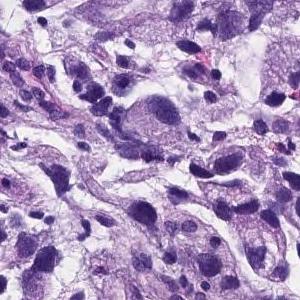
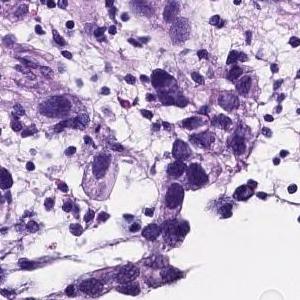
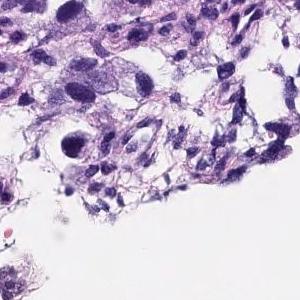
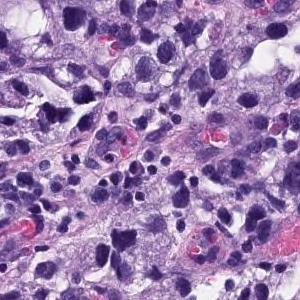
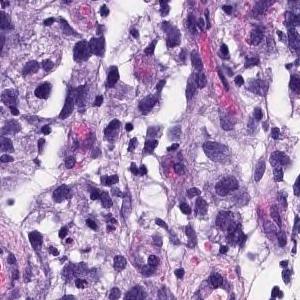
Hematoxylin and eosin stain · 5 tiles cut from one stomach biopsy slide · 300×300 px each.
Report on the slide these tiles come from. The report and the diagnosis describe the slide as a whole, so these tiles may not show every feature named and may include non-tumor tissue.
Medium to small, irregular glandular ducts are formed in the superficial epithelium, and in some cases, the glandular ducts are fused to show solid alveolar lesions and infiltrating tumor tissue is observed. Poorly differentiated adenocarcinoma, Moderately differentiated adenocarcinoma.
Labeled in the dataset as moderately differentiated tubular adenocarcinoma.
